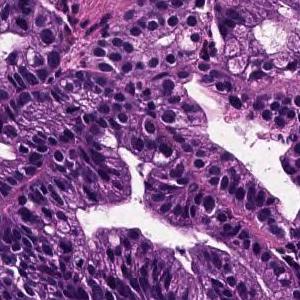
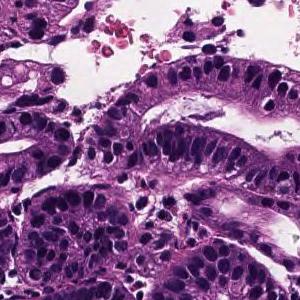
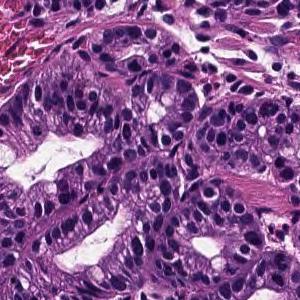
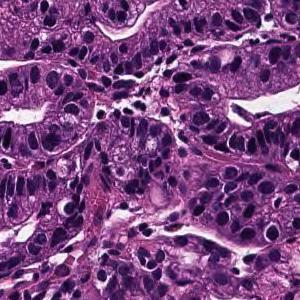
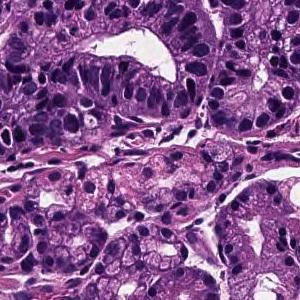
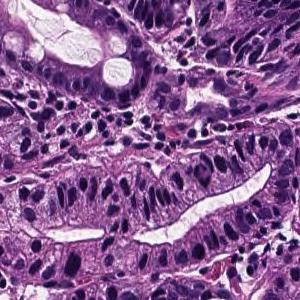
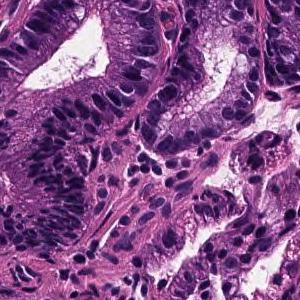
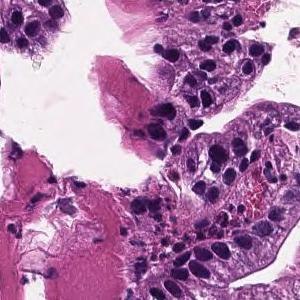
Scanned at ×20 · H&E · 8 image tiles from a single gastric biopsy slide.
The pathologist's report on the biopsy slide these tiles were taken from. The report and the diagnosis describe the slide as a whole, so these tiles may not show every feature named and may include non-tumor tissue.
On the superficial epithelium, tumor tissue that infiltrates by forming medium-sized papillary or small irregular ducts is observed. Papillary adenocarcinoma
